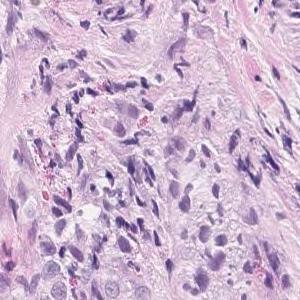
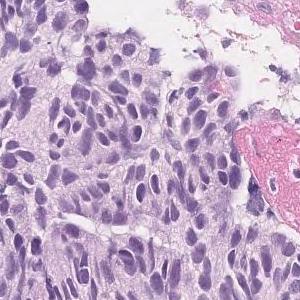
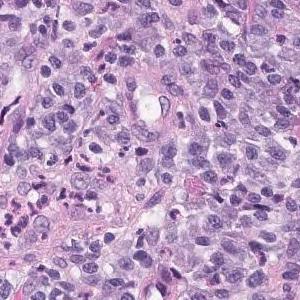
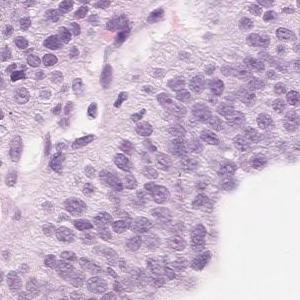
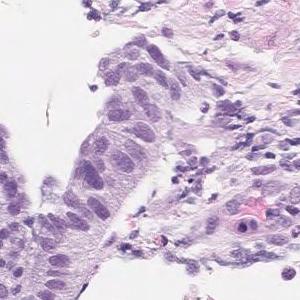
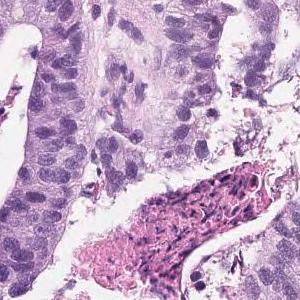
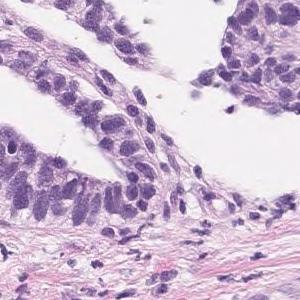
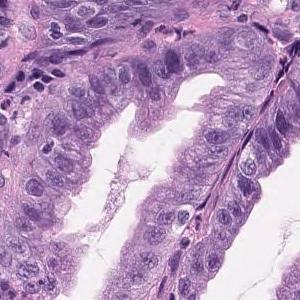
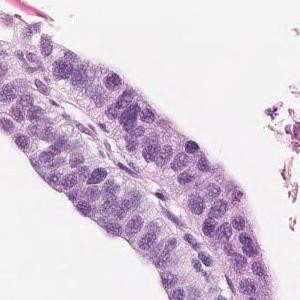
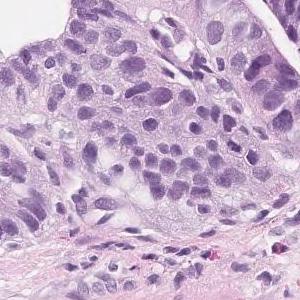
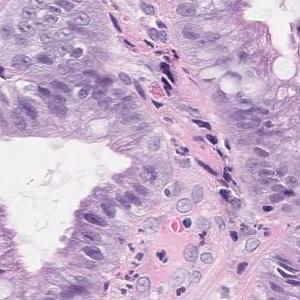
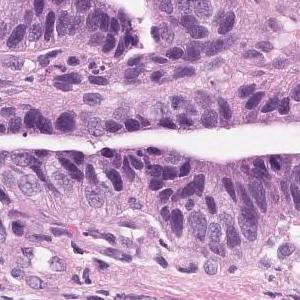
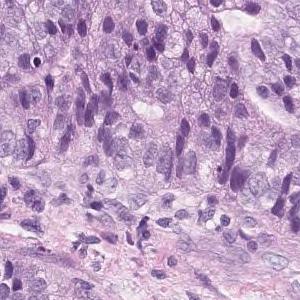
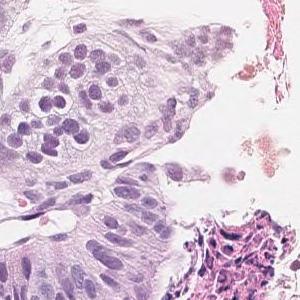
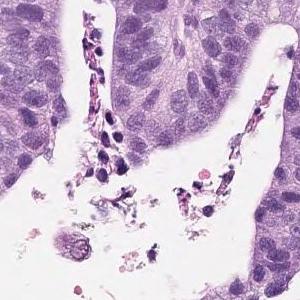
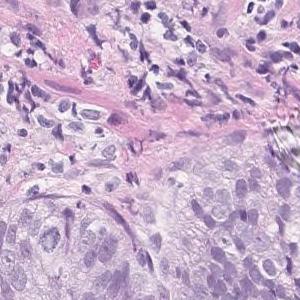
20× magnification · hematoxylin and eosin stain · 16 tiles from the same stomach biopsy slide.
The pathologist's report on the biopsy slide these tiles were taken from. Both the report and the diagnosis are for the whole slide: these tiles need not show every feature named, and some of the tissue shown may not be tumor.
Tumor tissue in which highly columnar atypical epithelial cells with nuclear enlargement and increased nuclear chromatin show papillary to papillary ductal structure and proliferate is observed. Papillary adenocarcinoma.
